7 tiles from the same stomach biopsy slide; 300 × 300 pixels each; H&E stain; ×20.
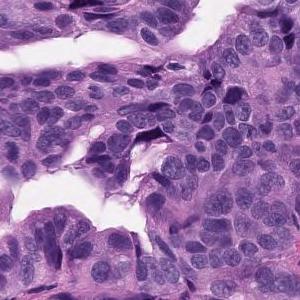
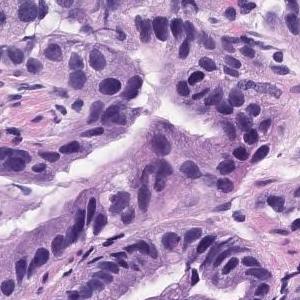
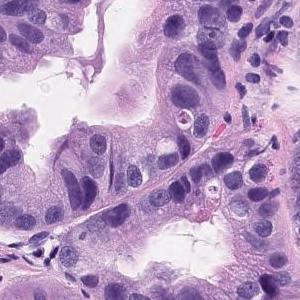
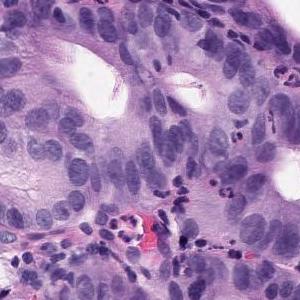
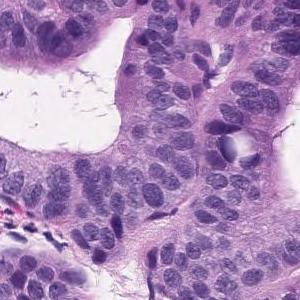
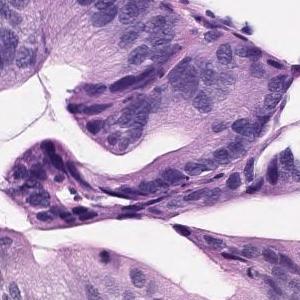
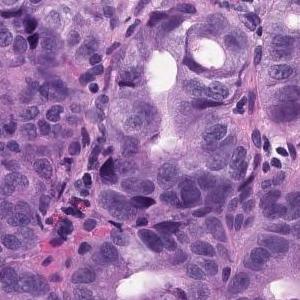
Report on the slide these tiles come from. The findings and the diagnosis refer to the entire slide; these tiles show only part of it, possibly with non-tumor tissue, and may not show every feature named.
Tumor tissue consisting of medium-sized and irregular ducts is observed infiltrating in the superficial epithelium. Tumor cells are highly columnar, with nuclei aligned basolaterally and polarized. Well differentiated tubular adenocarcinoma.
